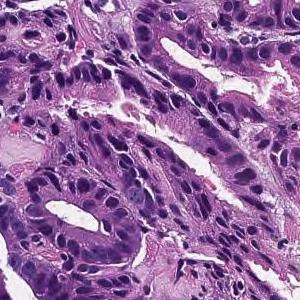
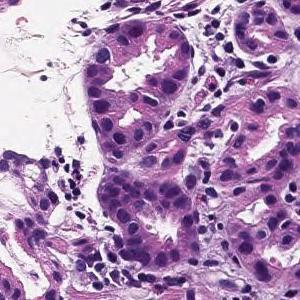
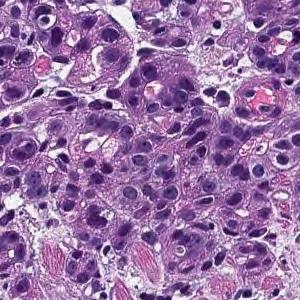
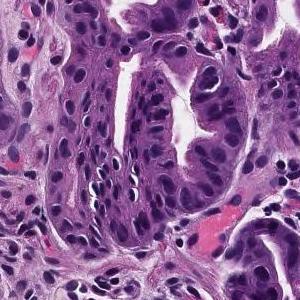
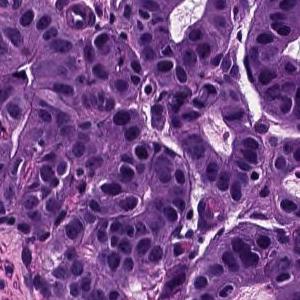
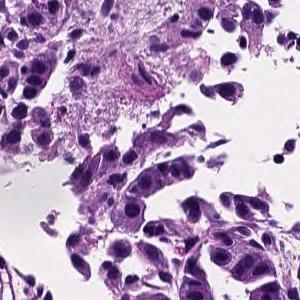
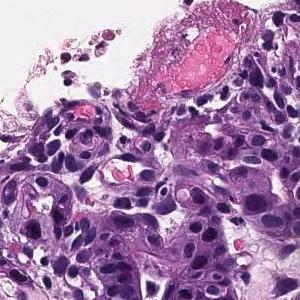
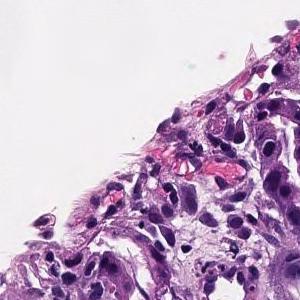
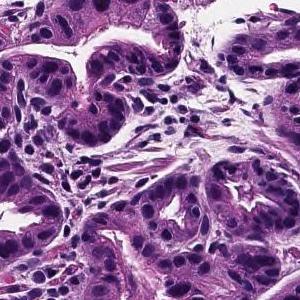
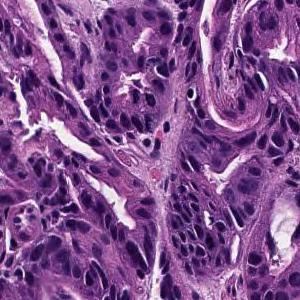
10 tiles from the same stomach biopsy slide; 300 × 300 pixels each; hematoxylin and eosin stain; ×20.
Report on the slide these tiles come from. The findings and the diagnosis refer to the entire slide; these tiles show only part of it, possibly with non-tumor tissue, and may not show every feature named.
From the superficial epithelium to the muscularis mucosae, tumor tissue consisting of medium-sized and irregular glandular ducts infiltrating is observed. Well differentiated tubular adenocarcinoma
